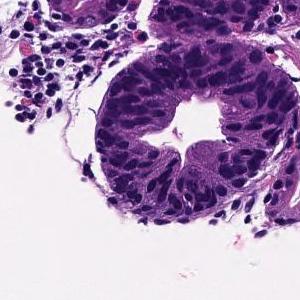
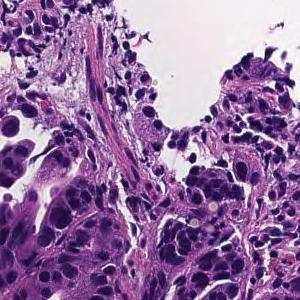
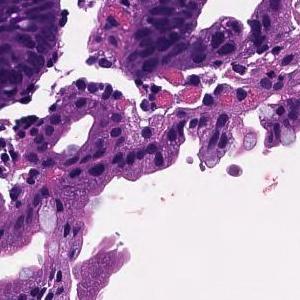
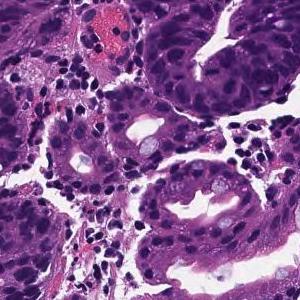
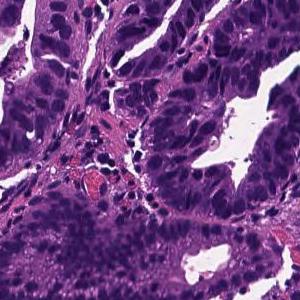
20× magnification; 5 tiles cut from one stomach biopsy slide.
Report on the slide these tiles come from. The report and the diagnosis cover the entire slide, so not every feature they name need be visible here, and some tissue shown may not be tumor.
From the superficial epithelium to the muscularis mucosae, tumor tissue consisting of medium-sized and irregular glandular ducts infiltrating is observed. Well differentiated tubular adenocarcinoma
